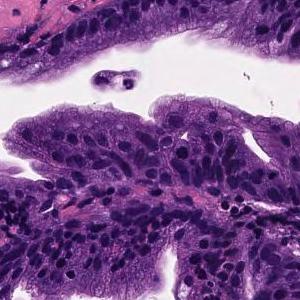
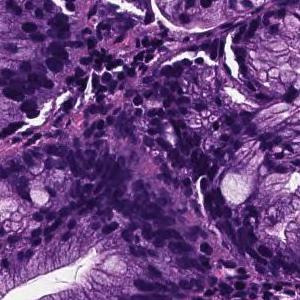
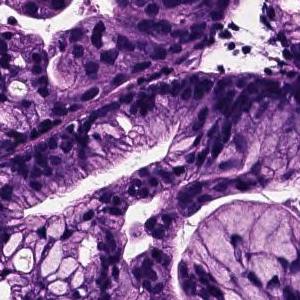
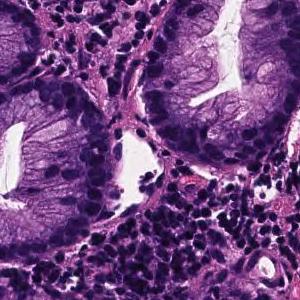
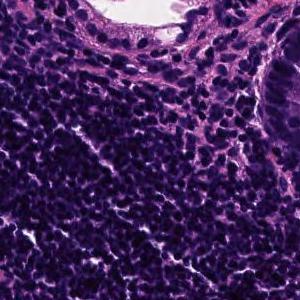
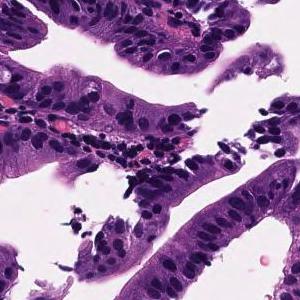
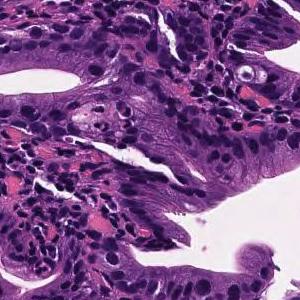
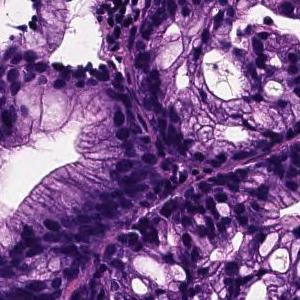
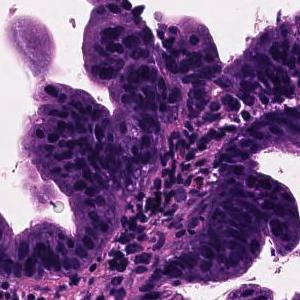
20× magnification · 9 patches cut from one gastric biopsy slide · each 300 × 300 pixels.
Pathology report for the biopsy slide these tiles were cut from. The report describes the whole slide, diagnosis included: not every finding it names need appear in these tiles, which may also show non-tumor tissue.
On the superficial epithelium, tumor tissue that infiltrates by forming medium-sized papillary or small irregular ducts is observed. Papillary adenocarcinoma
